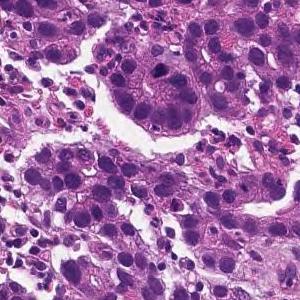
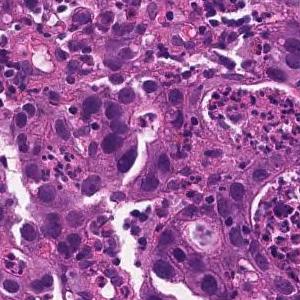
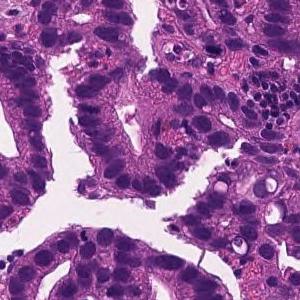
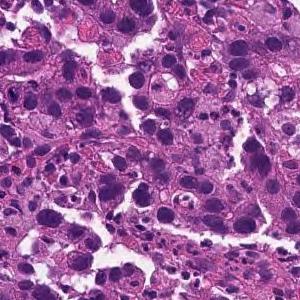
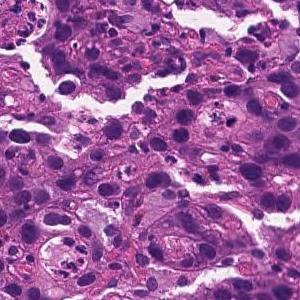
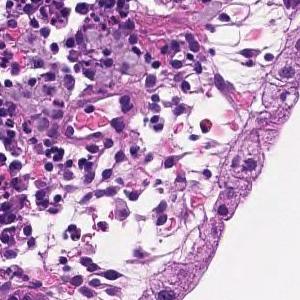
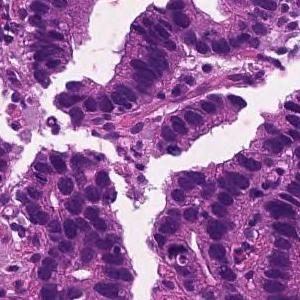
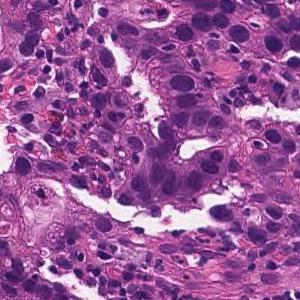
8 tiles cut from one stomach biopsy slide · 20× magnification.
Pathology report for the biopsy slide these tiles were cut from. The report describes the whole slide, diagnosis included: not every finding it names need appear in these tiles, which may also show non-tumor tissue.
Medium to small, irregular glandular ducts are formed in the superficial epithelium, and in some cases, the glandular ducts are fused to show solid alveolar lesions and infiltrating tumor tissue is observed. Moderately to poorly differentiated adenocarcinoma.
